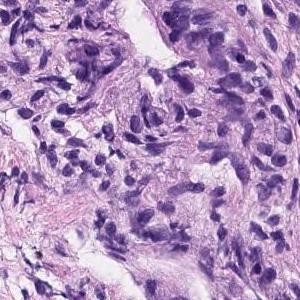
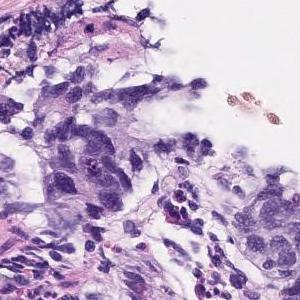
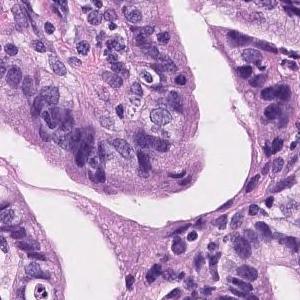
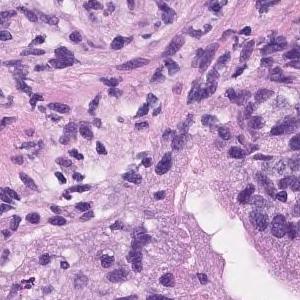
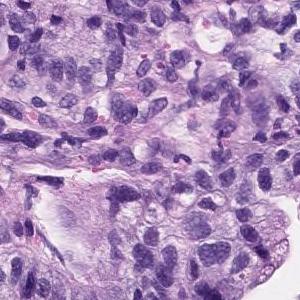
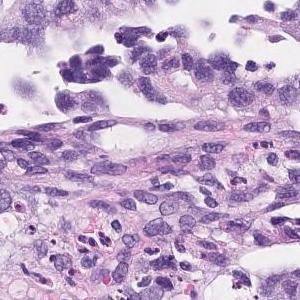
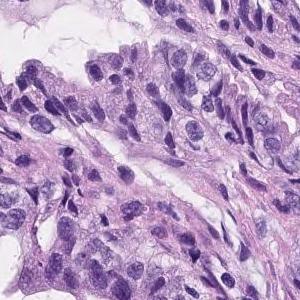
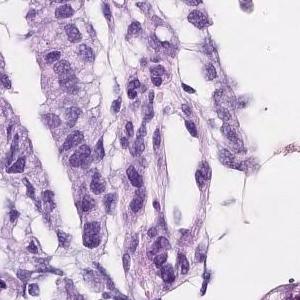
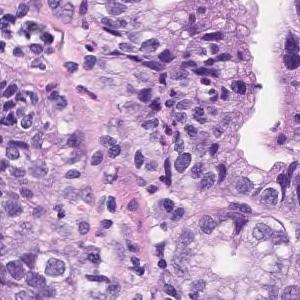
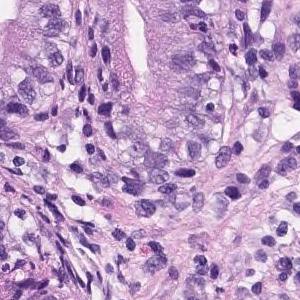
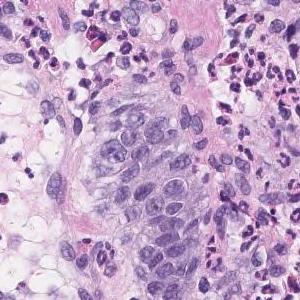
11 patches cut from one gastric biopsy slide; ×20.
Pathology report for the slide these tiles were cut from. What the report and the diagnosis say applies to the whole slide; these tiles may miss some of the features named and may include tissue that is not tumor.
Tumor cells are large, highly columnar, large club-shaped nuclei, and are associated with chromatin aggregation. Papillary adenocarcinoma.
